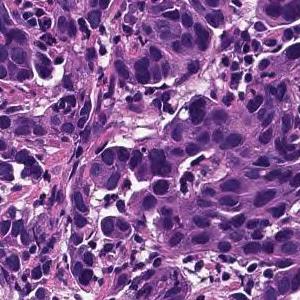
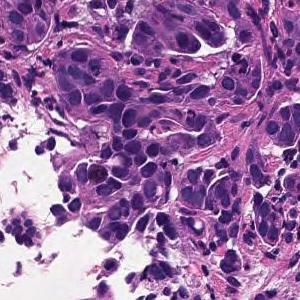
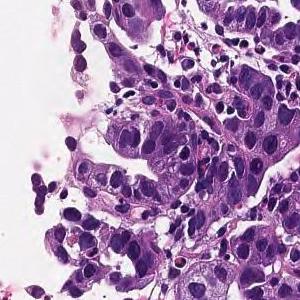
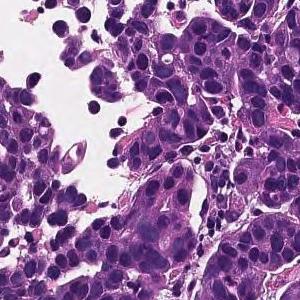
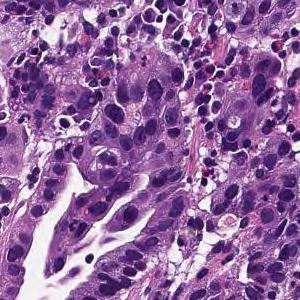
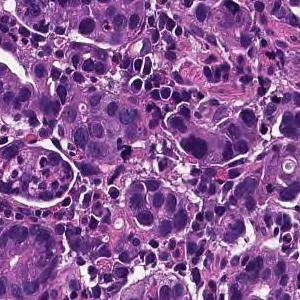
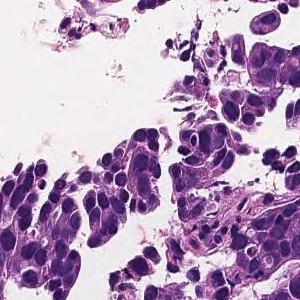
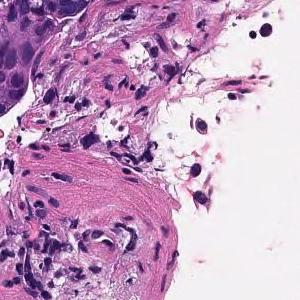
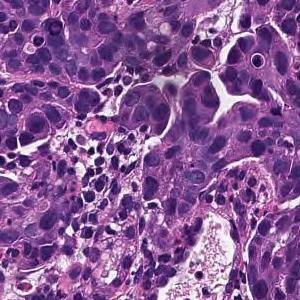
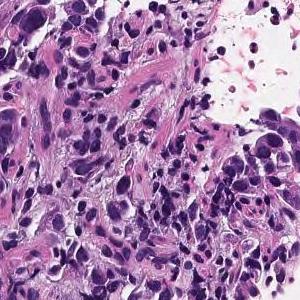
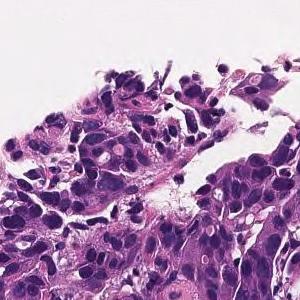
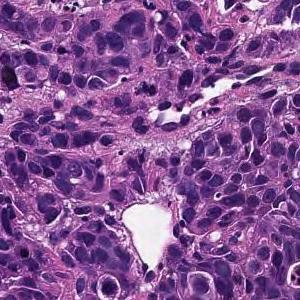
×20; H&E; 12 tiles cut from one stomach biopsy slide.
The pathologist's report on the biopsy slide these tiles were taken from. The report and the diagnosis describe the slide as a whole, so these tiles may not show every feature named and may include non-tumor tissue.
The superficial epithelium shows small cord-like infiltrating tumor tissue. There is no mucin production in tumor cells. Poorly differentiated adenocarcinoma, non-solid type
"Non-solid type" is a category of the Japanese Classification of Gastric Carcinoma.
